Scanned at ×20, hematoxylin and eosin stain, 11 patches cut from one gastric biopsy slide, 300×300 px each.
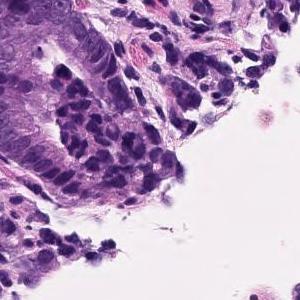
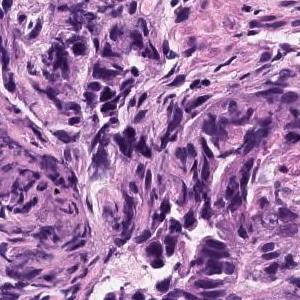
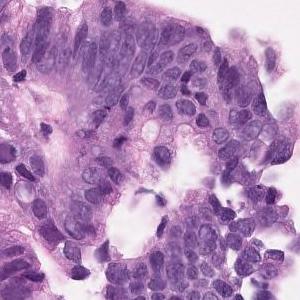
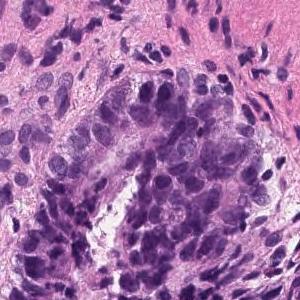
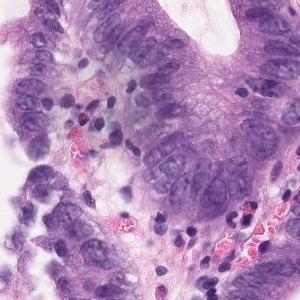
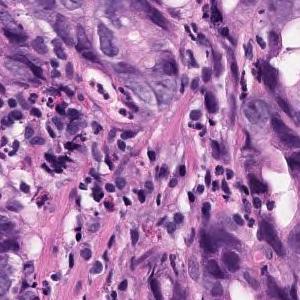
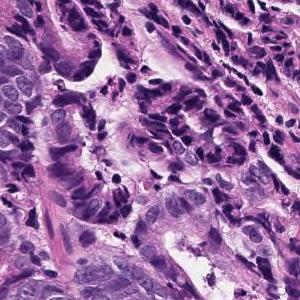
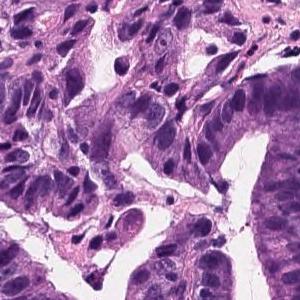
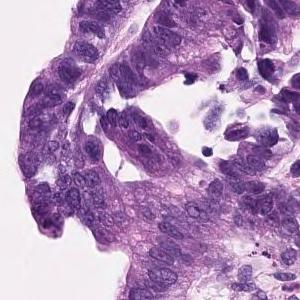
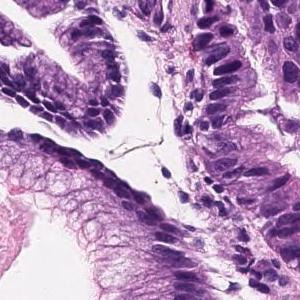
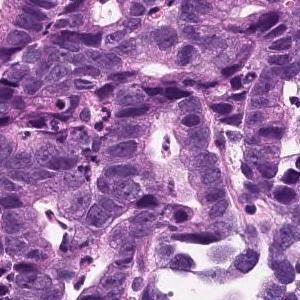
Pathology report for the slide these tiles were cut from. The report and the diagnosis describe the slide as a whole, so these tiles may not show every feature named and may include non-tumor tissue.
The swollen atypical epithelium of the nucleus forms an irregular ductal structure and proliferates. moderately differentiated tubular adenocarcinoma
